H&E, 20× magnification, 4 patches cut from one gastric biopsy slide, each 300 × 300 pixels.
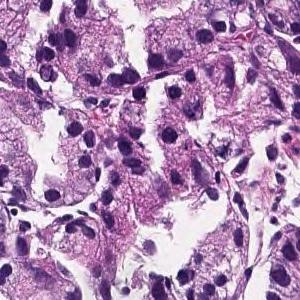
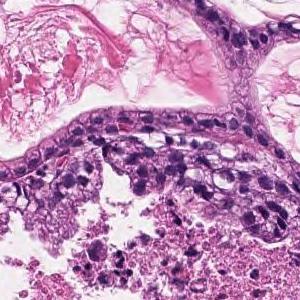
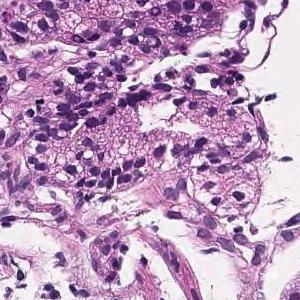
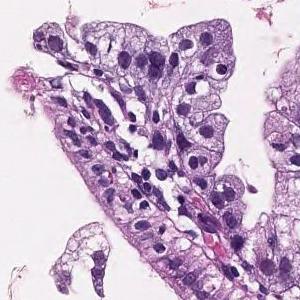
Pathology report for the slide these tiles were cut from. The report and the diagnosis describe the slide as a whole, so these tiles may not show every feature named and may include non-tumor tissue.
In the superficial epithelium, tumor tissue that infiltrates by forming medium-sized papillary or small irregular ducts is observed. Papillary adenocarcinoma
